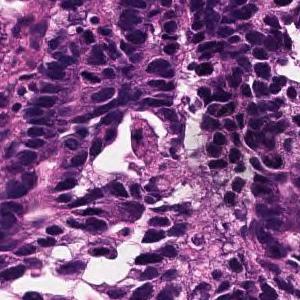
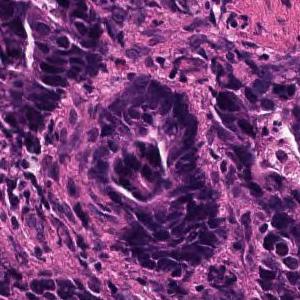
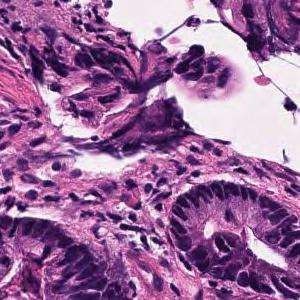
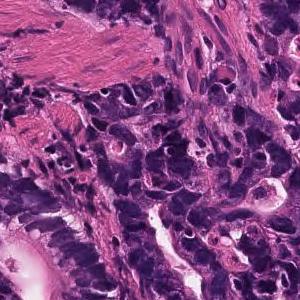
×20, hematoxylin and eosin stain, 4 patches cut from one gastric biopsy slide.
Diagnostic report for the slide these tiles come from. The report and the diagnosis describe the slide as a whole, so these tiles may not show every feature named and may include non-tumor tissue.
Large and small irregular small glandular ducts forming and infiltrating. moderately differentiated tubular adenocarcinoma
